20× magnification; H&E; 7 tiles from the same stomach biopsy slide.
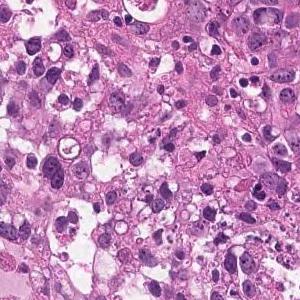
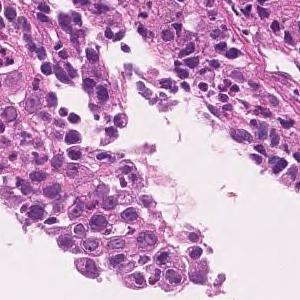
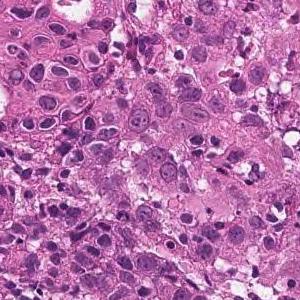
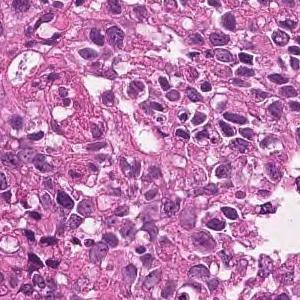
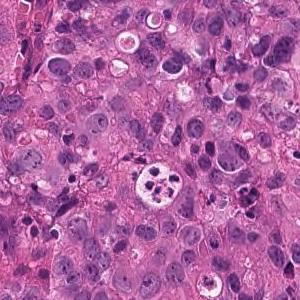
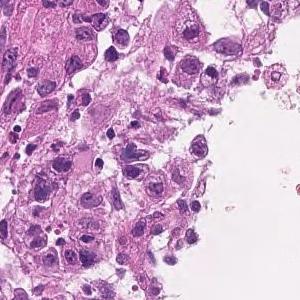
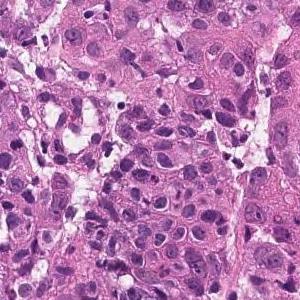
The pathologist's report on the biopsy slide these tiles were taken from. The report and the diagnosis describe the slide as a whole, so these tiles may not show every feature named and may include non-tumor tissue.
The superficial epithelium shows a large sheet-like shape, and some tumor tissue infiltrates with small irregular ducts. Poorly differentiated adenocarcinoma, solid-type
Tumor subtype: poorly differentiated adenocarcinoma, solid type, a category of the Japanese Classification of Gastric Carcinoma; in the WHO 2019 classification it is tubular adenocarcinoma, poorly differentiated.
